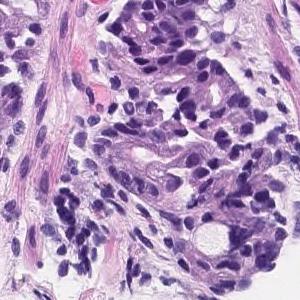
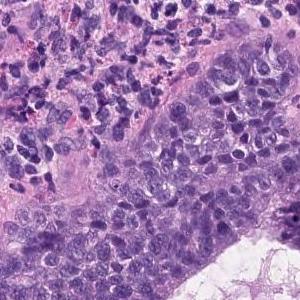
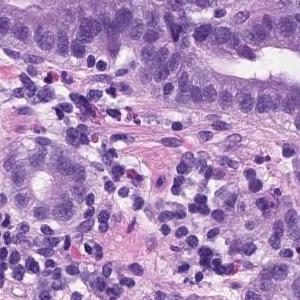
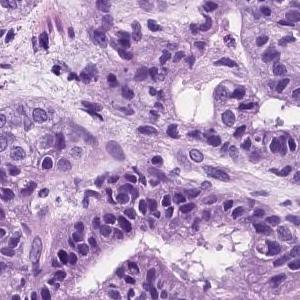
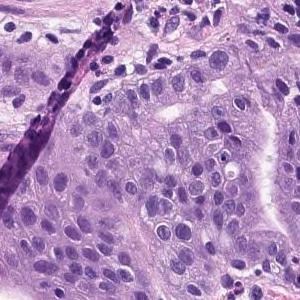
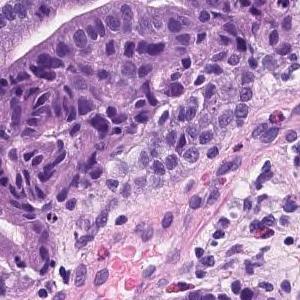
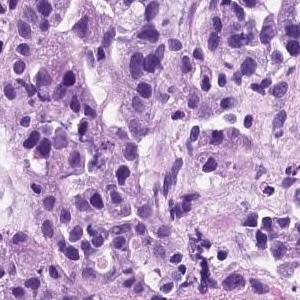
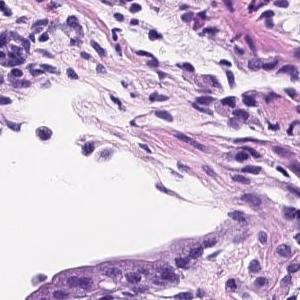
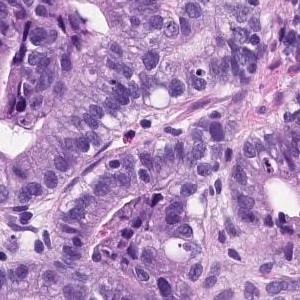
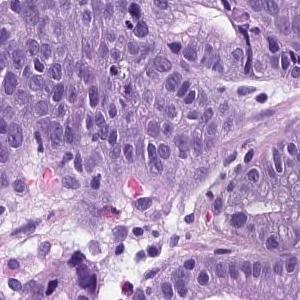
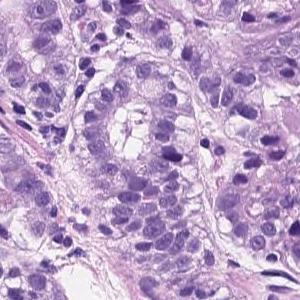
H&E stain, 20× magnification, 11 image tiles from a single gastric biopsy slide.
Pathology report for the slide these tiles were cut from. The report and the diagnosis cover the entire slide, so not every feature they name need be visible here, and some tissue shown may not be tumor.
Tumor tissue consisting of medium-sized and irregular ducts is observed infiltrating in the superficial epithelium. Tumor cells are highly columnar, with nuclei aligned basolaterally and polarized. Well differentiated tubular adenocarcinoma.
